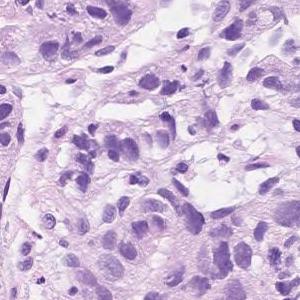
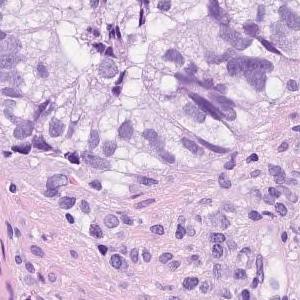
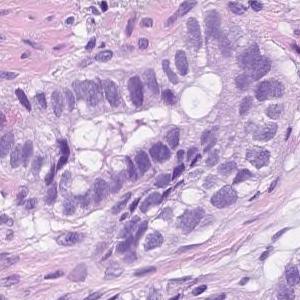
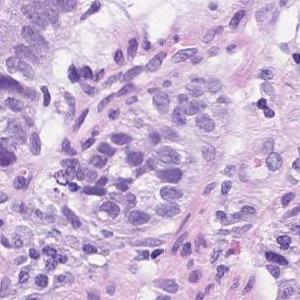
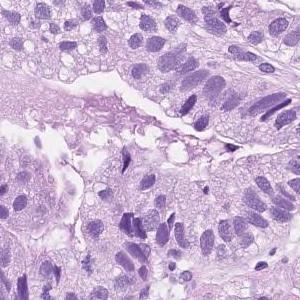
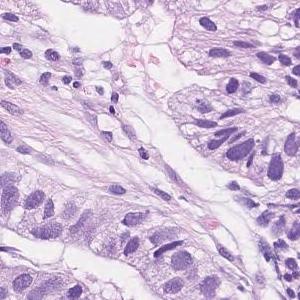
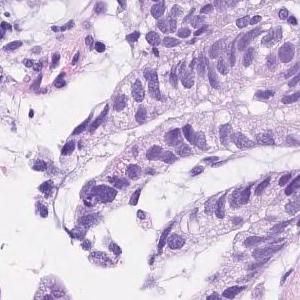
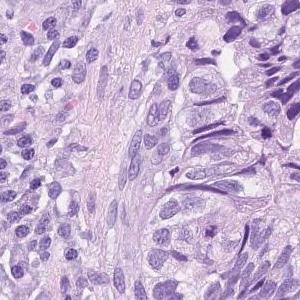
×20 · 8 patches cut from one gastric biopsy slide · each 300 × 300 pixels.
The pathologist's report on the biopsy slide these tiles were taken from. The report and the diagnosis describe the slide as a whole, so these tiles may not show every feature named and may include non-tumor tissue.
Atypical l cells with atypical nuclei forming solid or diffuse vesicles or small irregular atypical ducts and growing in a complex manner. moderately differentiated tubular adenocarcinoma
